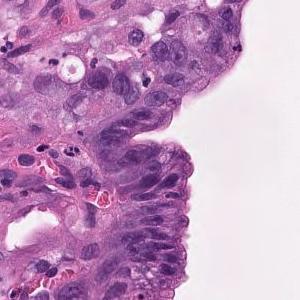
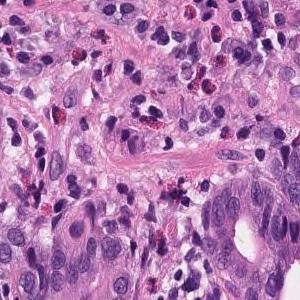
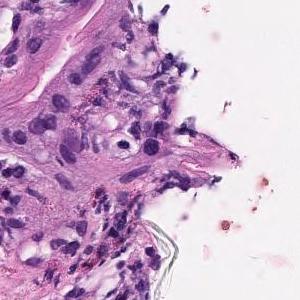
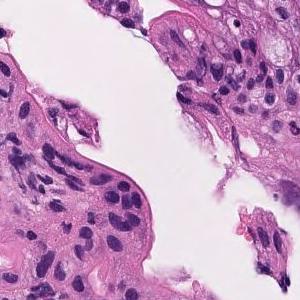
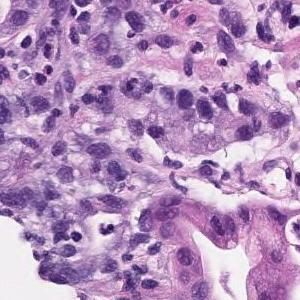
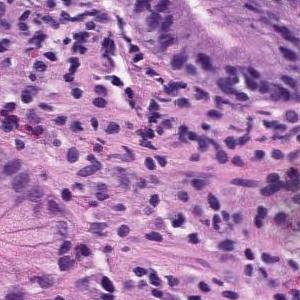
6 patches cut from one gastric biopsy slide, scanned at ×20, H&E.
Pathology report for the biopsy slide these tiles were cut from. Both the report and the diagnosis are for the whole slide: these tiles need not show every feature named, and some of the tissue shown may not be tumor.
moderately differentiated tubular adenocarcinoma, Poorly differentiated adenocarcinoma
Labeled in the dataset as poorly differentiated adenocarcinoma, solid type. This name comes from the Japanese Classification of Gastric Carcinoma; the WHO 2019 classification calls it tubular adenocarcinoma, poorly differentiated.
